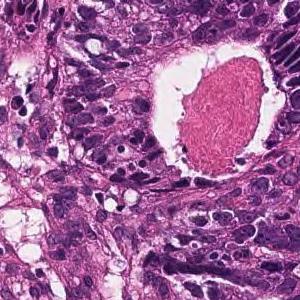
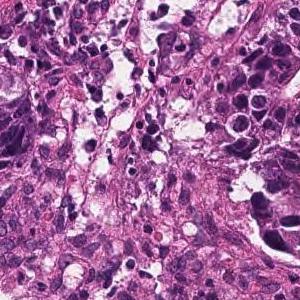
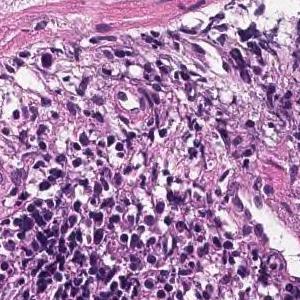
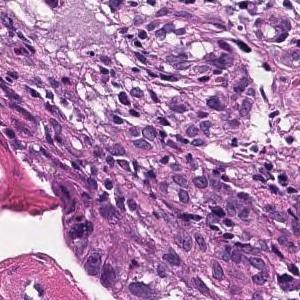
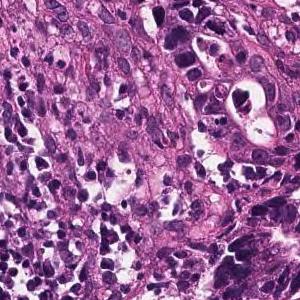
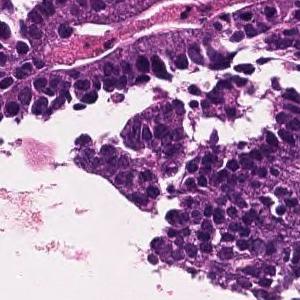
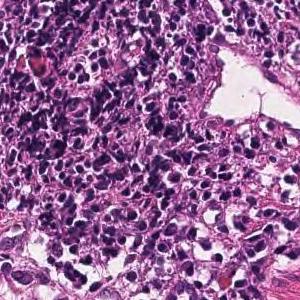
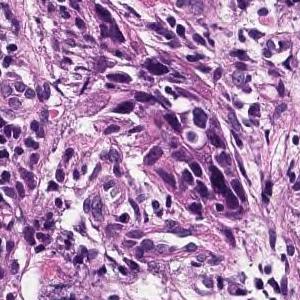
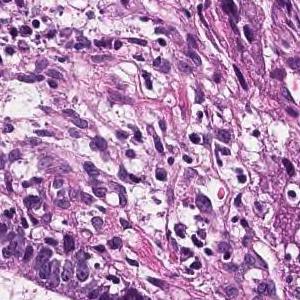
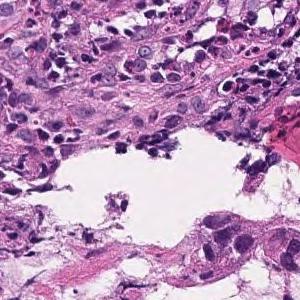
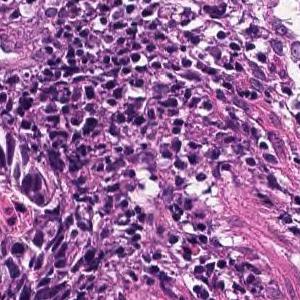
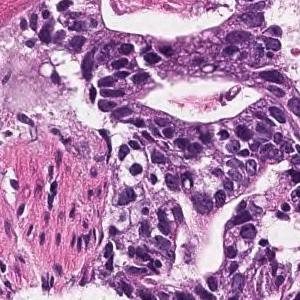
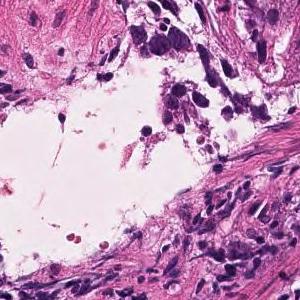
13 patches cut from one gastric biopsy slide; 300 × 300 pixels each; H&E stain.
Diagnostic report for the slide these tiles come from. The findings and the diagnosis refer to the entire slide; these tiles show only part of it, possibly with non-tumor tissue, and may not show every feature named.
From the superficial epithelium to the muscularis mucosae, tumor tissue infiltrating by forming medium-sized irregular gland ducts is observed. Large tumor cells exhibit large nucleus and hyperchromatism. Well differentiated tubular adenocarcinoma
